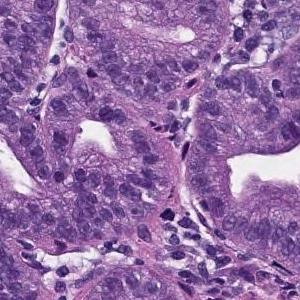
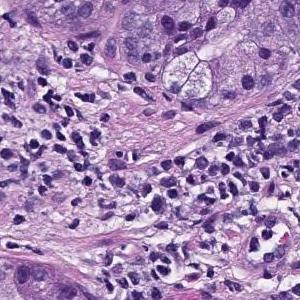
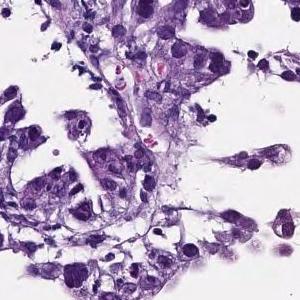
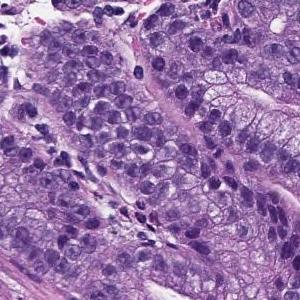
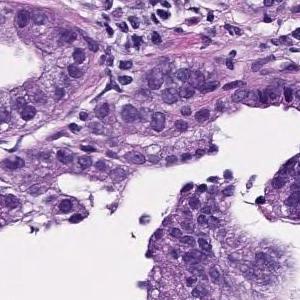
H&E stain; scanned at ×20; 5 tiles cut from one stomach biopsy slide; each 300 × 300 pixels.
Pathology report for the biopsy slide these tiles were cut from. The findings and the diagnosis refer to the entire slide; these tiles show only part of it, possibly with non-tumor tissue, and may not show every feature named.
On the superficial epithelium, tumor tissue that infiltrates by forming medium-sized papillary or small irregular ducts is observed. Papillary adenocarcinoma
